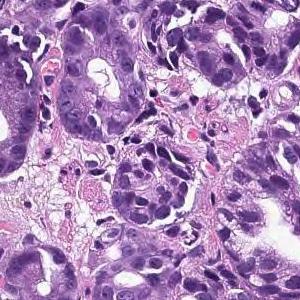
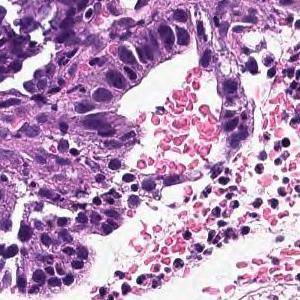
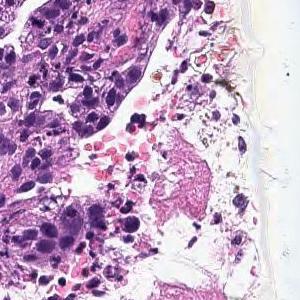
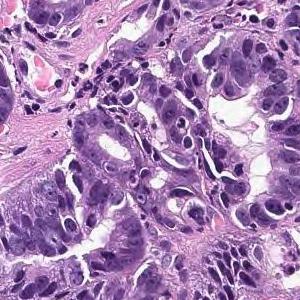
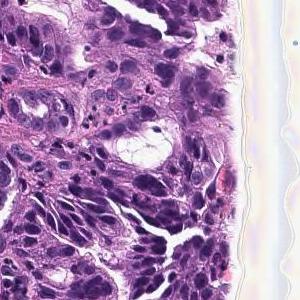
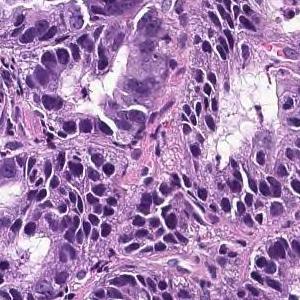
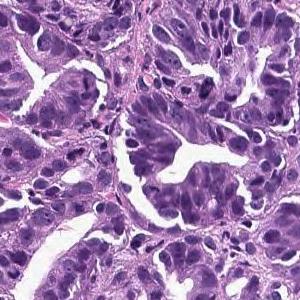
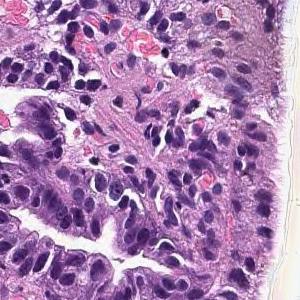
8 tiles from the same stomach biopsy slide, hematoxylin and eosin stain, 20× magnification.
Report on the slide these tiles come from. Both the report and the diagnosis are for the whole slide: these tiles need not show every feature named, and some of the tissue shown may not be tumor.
On the superficial epithelium, tumor tissue that infiltrates by forming medium-sized papillary or small irregular ducts is observed. Papillary adenocarcinoma
